8 patches cut from one gastric biopsy slide, 300 × 300 pixels each, hematoxylin and eosin stain, ×20.
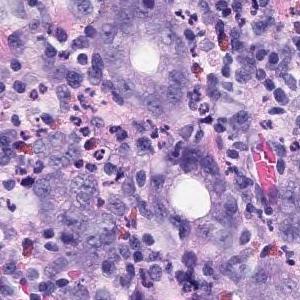
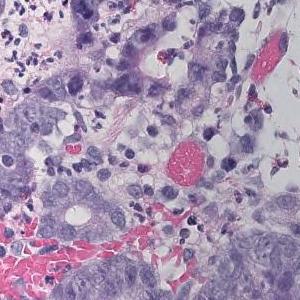
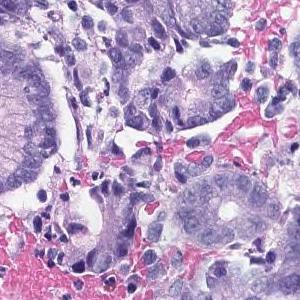
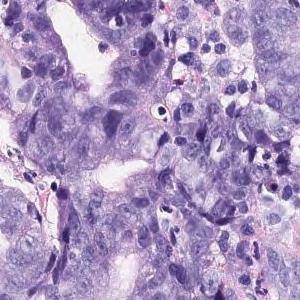
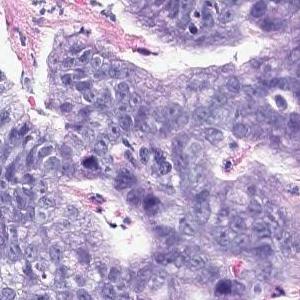
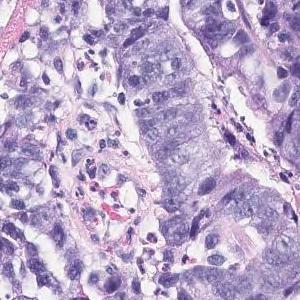
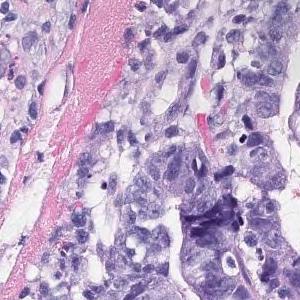
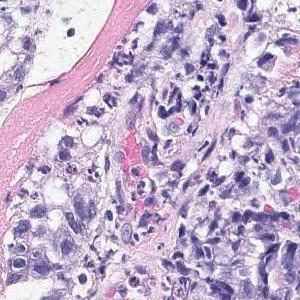
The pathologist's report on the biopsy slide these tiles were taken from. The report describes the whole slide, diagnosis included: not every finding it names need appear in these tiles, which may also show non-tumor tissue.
In the superficial epithelium, tumor tissue that invades by forming medium-sized to small, irregular ducts is observed. Moderately differentiated adenocarcinoma.
Subtype: Moderately differentiated tubular adenocarcinoma.
